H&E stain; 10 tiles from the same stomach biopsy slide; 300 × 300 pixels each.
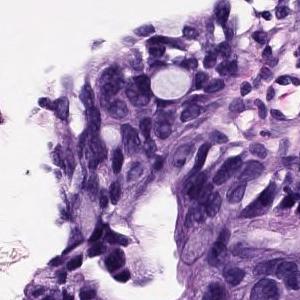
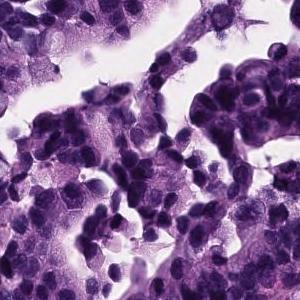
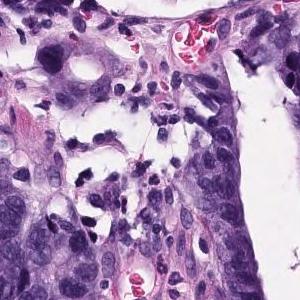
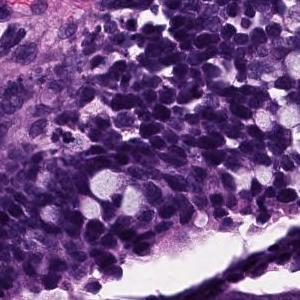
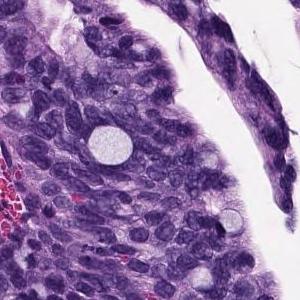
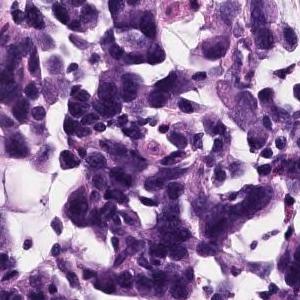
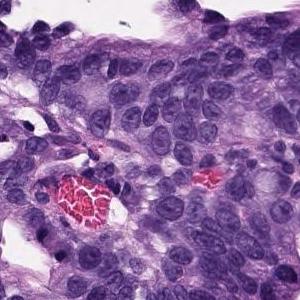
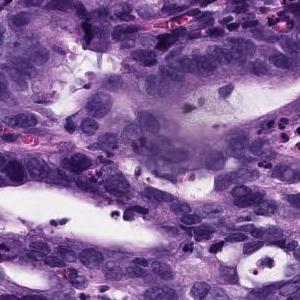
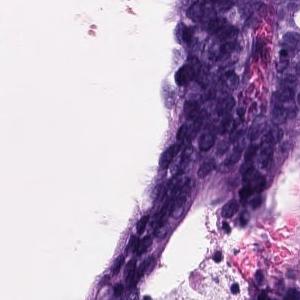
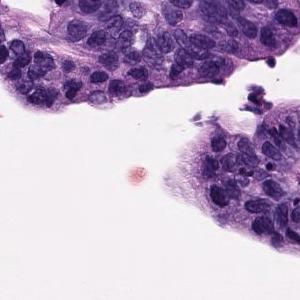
Report on the slide these tiles come from. Both the report and the diagnosis are for the whole slide: these tiles need not show every feature named, and some of the tissue shown may not be tumor.
Atypical epithelium proliferating showing villus construction and irregular gland duct construction is observed. Moderately differentiated tubular adenocarcinoma.
